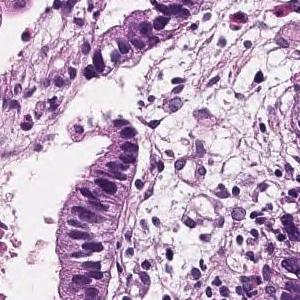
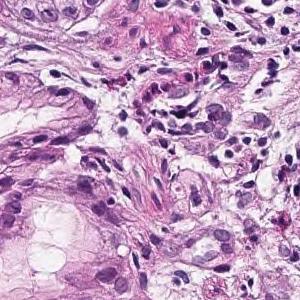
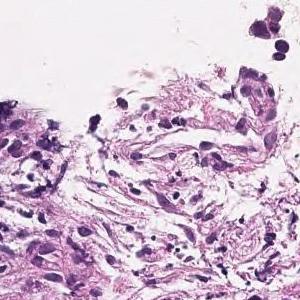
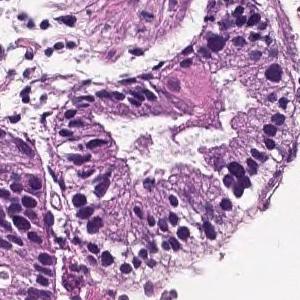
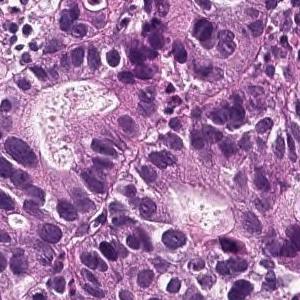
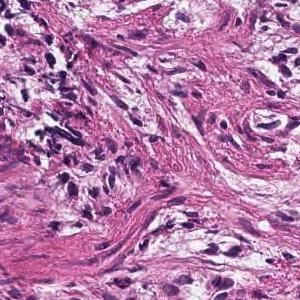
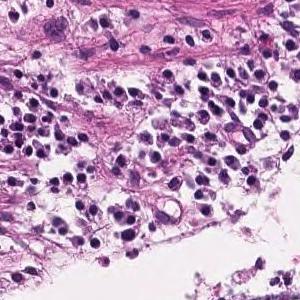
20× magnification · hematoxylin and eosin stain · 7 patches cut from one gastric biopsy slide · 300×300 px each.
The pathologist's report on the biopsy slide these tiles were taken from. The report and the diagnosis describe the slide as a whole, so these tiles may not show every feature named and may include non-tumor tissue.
On the superficial epithelium, tumor tissue consisting of large, irregular glandular ducts partially fused and infiltrated is observed. Well to moderately differentiated tubular adenocarcinoma (well differentiated tubular adenocarcinoma, moderately differentiated tubular adenocarcinoma)
Classified as well to moderately differentiated tubular adenocarcinoma.
